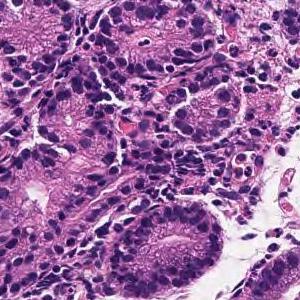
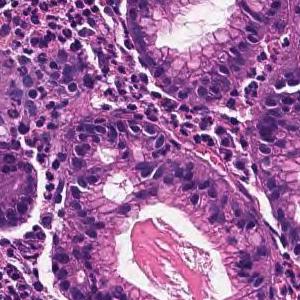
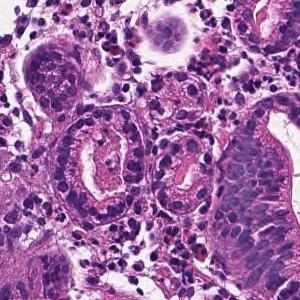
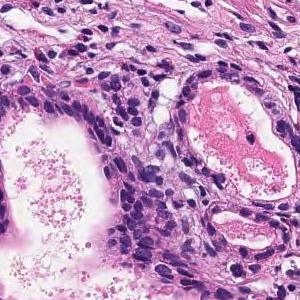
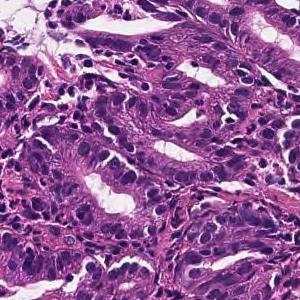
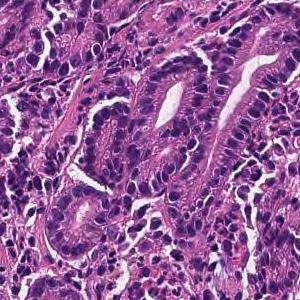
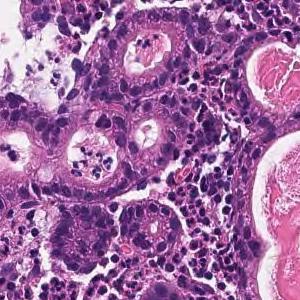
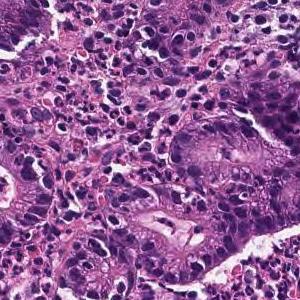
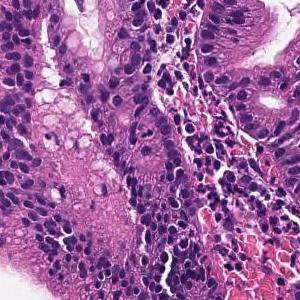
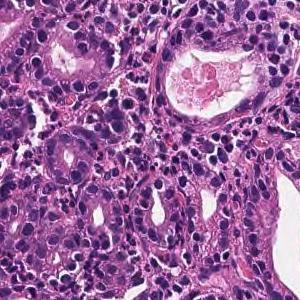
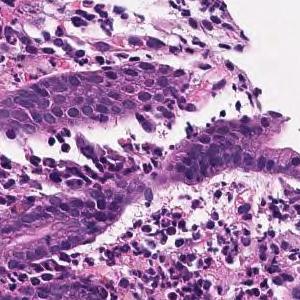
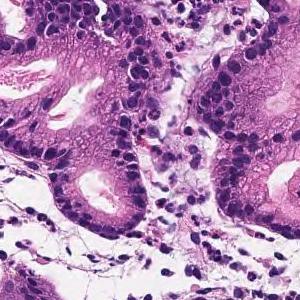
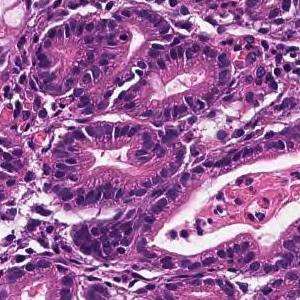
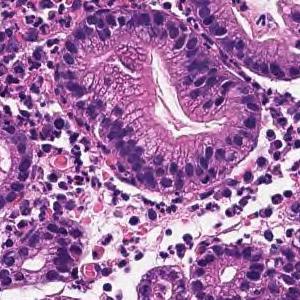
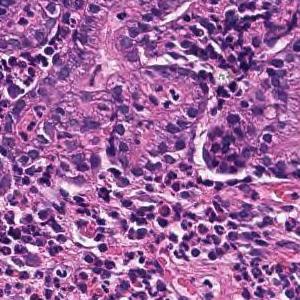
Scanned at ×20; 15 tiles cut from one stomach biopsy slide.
Pathology report for the biopsy slide these tiles were cut from. The report describes the whole slide, diagnosis included: not every finding it names need appear in these tiles, which may also show non-tumor tissue.
Tumor tissue infiltrated and proliferated with small to medium-sized irregular tubules is observed in the superficial epithelium. Well differentiated tubular adenocarcinoma
